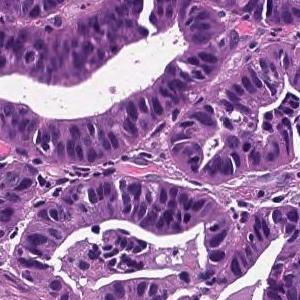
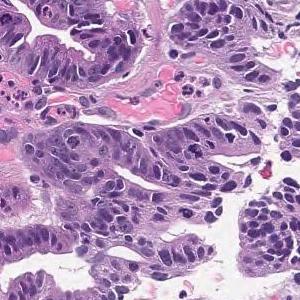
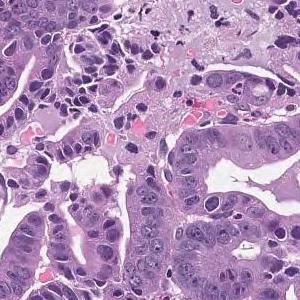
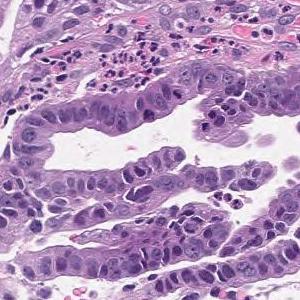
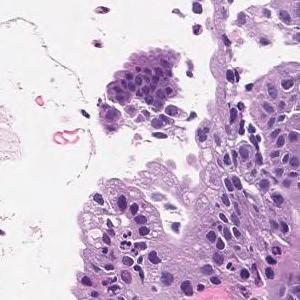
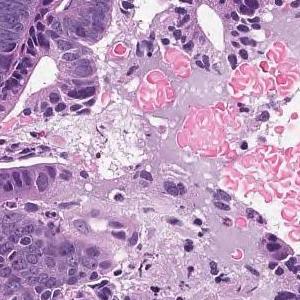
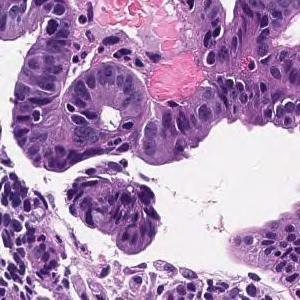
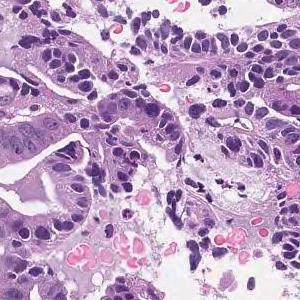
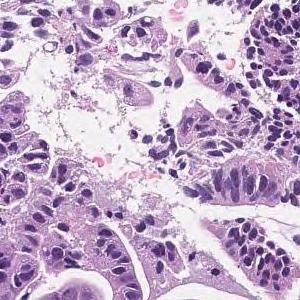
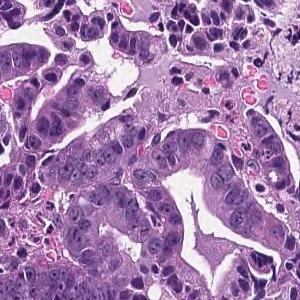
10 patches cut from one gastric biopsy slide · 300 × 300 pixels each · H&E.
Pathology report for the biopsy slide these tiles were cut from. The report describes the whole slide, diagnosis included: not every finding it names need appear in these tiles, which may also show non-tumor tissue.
Tumor cells are large, highly columnar, large club-shaped nuclei, and are associated with chromatin aggregation. Papillary adenocarcinoma.
